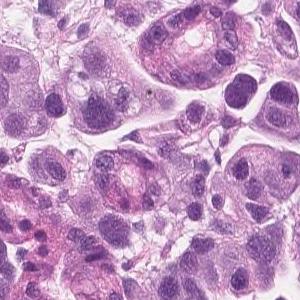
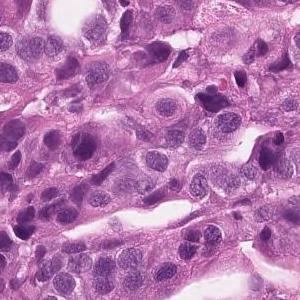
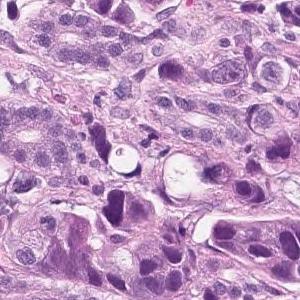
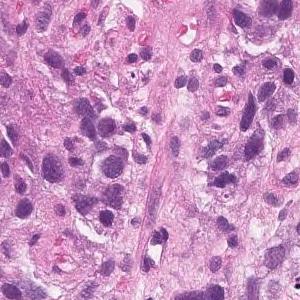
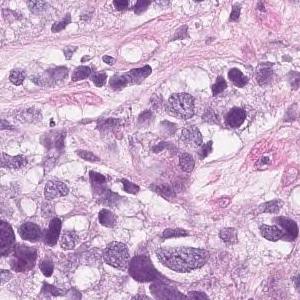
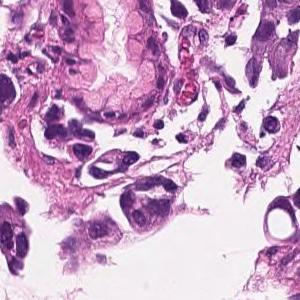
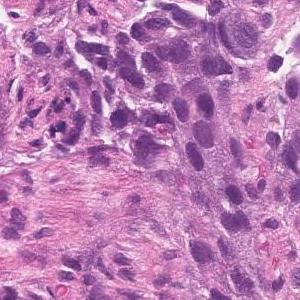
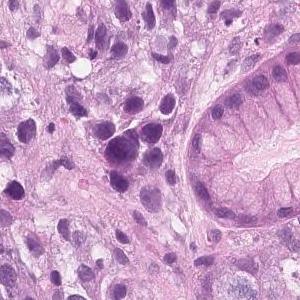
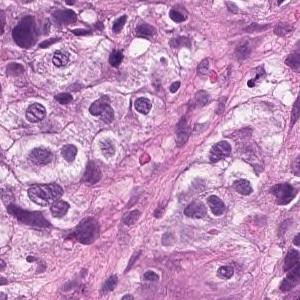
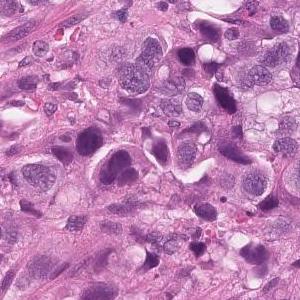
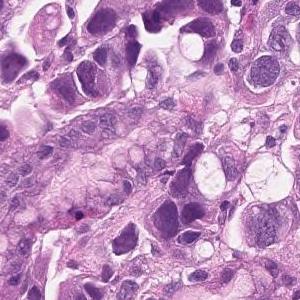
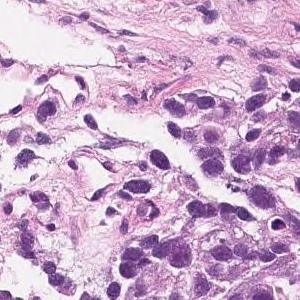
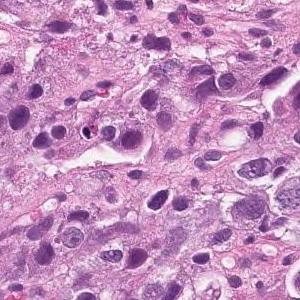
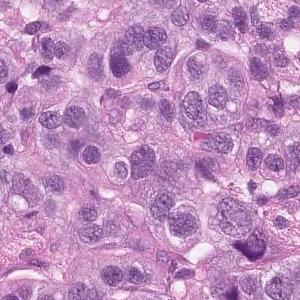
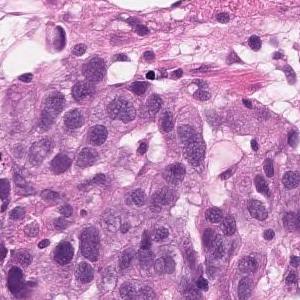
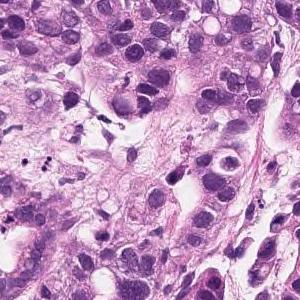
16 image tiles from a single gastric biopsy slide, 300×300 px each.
Pathology report for the biopsy slide these tiles were cut from. What the report and the diagnosis say applies to the whole slide; these tiles may miss some of the features named and may include tissue that is not tumor.
Tumor tissue that infiltrates the epithelium in an alveolar manner. Poorly differentiated adenocarcinoma, solid-type
Subtype: Poorly differentiated adenocarcinoma, solid type (Japanese Classification of Gastric Carcinoma). The WHO 2019 equivalent is tubular adenocarcinoma, poorly differentiated.
